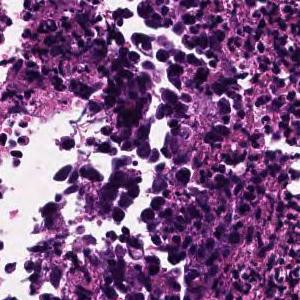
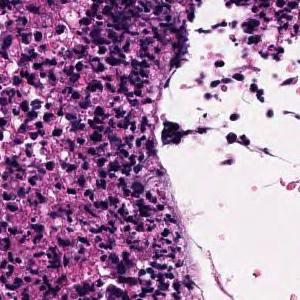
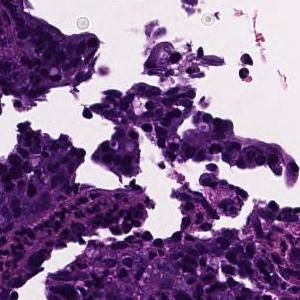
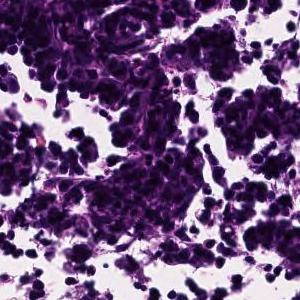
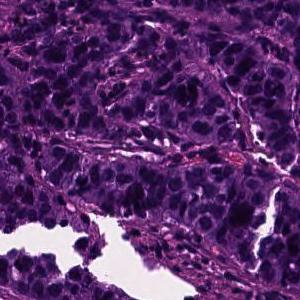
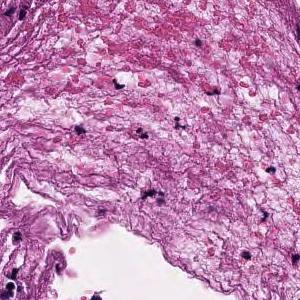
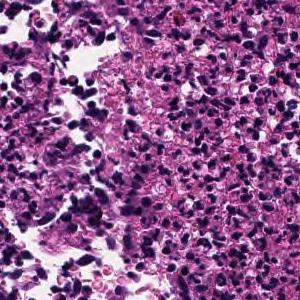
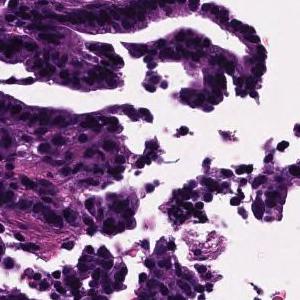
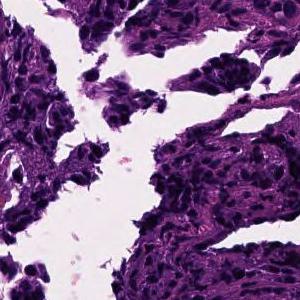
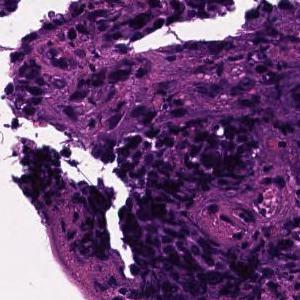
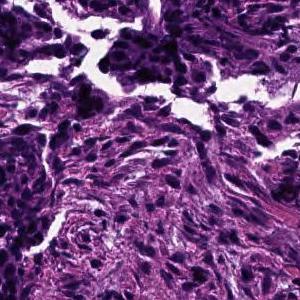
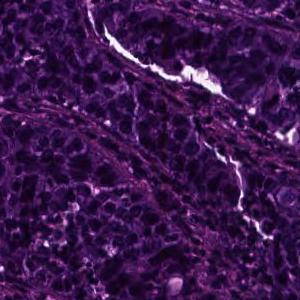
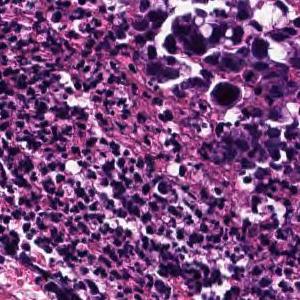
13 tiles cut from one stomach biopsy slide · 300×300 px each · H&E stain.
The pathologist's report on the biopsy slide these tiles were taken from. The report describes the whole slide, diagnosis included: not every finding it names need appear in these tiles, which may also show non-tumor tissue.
In the superficial epithelium, tumor tissue that invades by forming medium-sized to small, irregular ducts is observed. moderately differentiated tubular adenocarcinoma.
